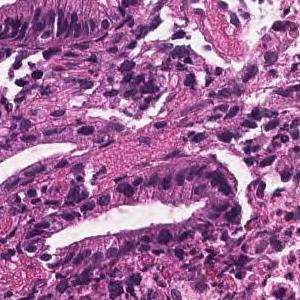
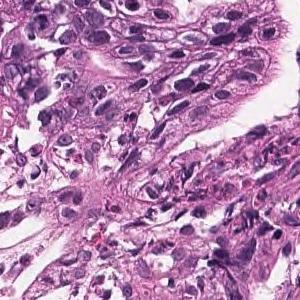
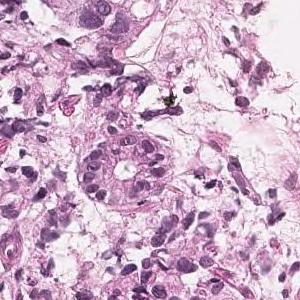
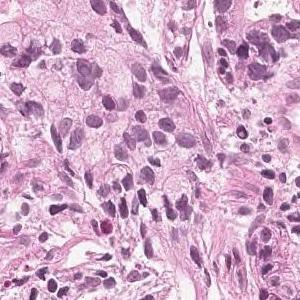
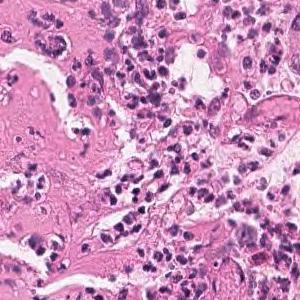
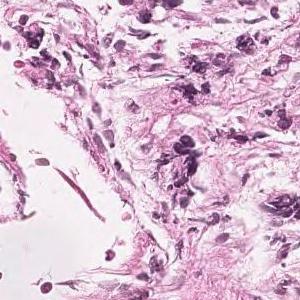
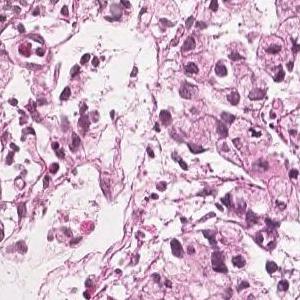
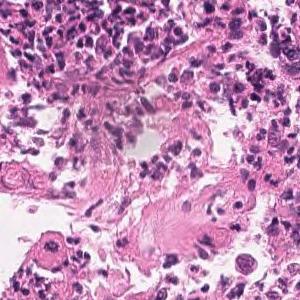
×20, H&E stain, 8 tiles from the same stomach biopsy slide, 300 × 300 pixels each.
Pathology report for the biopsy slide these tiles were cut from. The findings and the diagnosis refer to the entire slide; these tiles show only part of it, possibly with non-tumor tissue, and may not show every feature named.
In the superficial epithelium, medium to small irregular gland ducts are formed, and in some cases, the ducts are fused to show solid alveolar lesions and infiltrating tumor tissue is observed. Moderately to poorly differentiated adenocarcinoma
